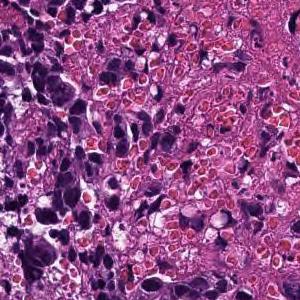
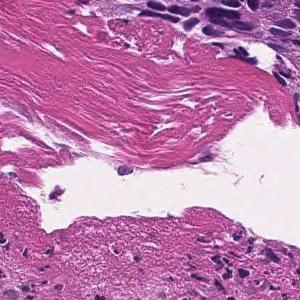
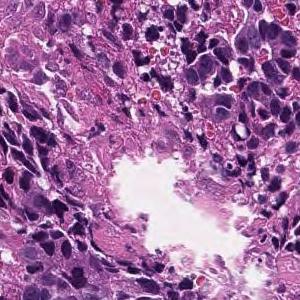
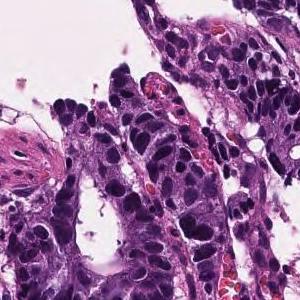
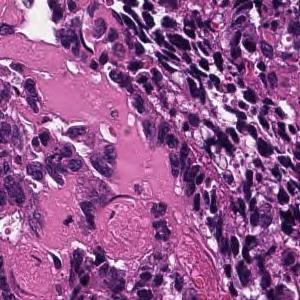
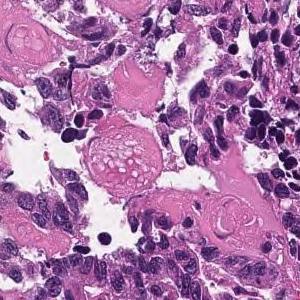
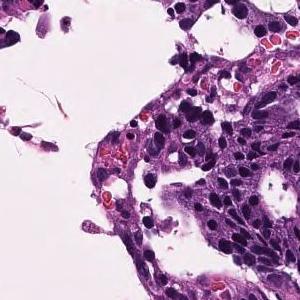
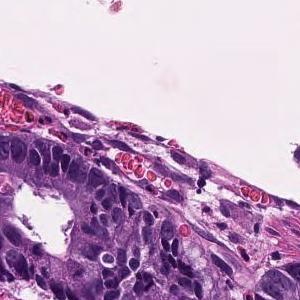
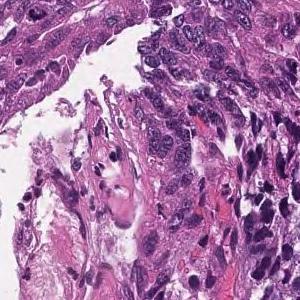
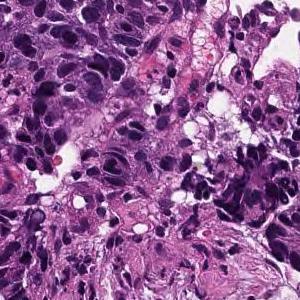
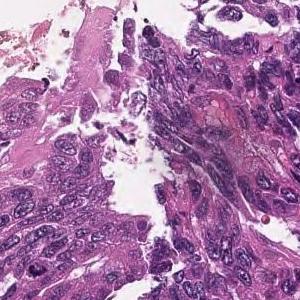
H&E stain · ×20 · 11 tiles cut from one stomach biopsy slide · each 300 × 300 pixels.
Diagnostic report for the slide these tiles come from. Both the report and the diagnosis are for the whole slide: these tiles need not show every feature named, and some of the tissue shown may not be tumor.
Tumor tissue consisting of large, irregular glandular ducts, centered on the submucosa, infiltrated by fusion with each other is observed. Well to moderately differentiated tubular adenocarcinoma (well differentiated tubular adenocarcinoma-moderately differentiated tubular adenocarcinoma)
Classified as well to moderately differentiated tubular adenocarcinoma.
